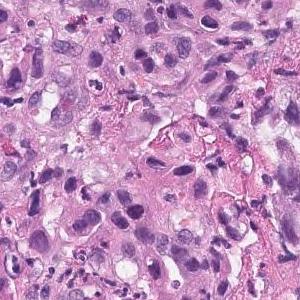
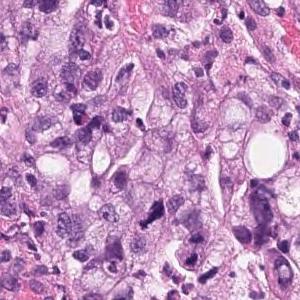
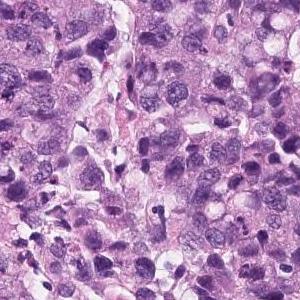
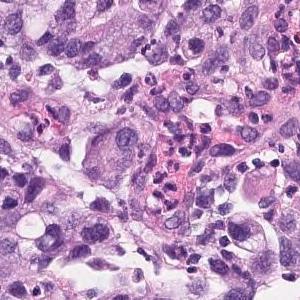
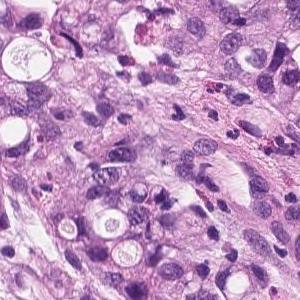
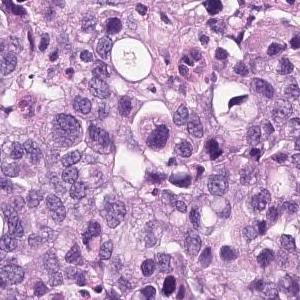
6 image tiles from a single gastric biopsy slide, 300 × 300 pixels each, hematoxylin and eosin stain, scanned at ×20.
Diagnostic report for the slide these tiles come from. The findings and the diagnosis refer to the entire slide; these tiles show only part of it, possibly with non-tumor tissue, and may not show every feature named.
Group 5, Adenocarcinoma. Poorly differentiated adenocarcinoma, non-solid type
"Non-solid type" is a category of the Japanese Classification of Gastric Carcinoma.
